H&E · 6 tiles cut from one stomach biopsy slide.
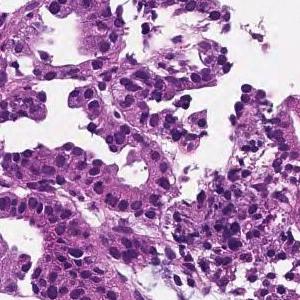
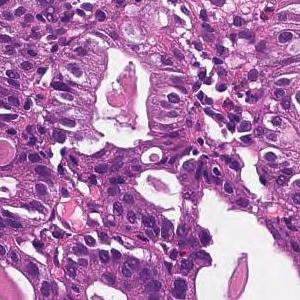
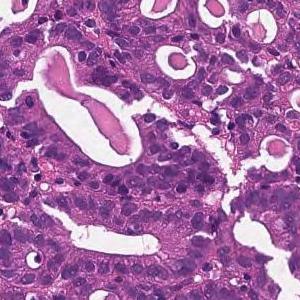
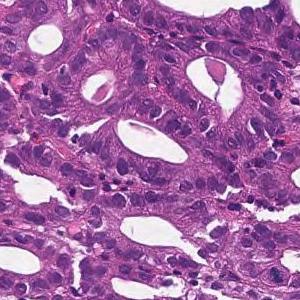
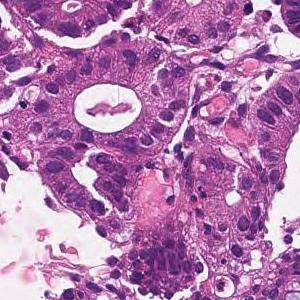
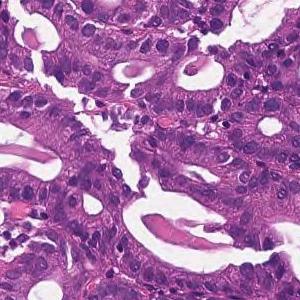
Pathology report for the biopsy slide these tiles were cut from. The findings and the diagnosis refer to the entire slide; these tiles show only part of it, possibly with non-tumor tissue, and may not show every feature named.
On the superficial epithelium, tumor tissue consisting of medium-sized irregular glandular ducts partially fused and infiltrated is observed. Well to moderately differentiated tubular adenocarcinoma (well differentiated tubular adenocarcinoma-moderately differentiated tubular adenocarcinoma)
Histologic type: Well to moderately differentiated tubular adenocarcinoma.
